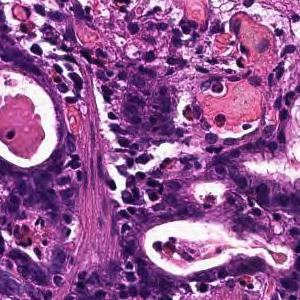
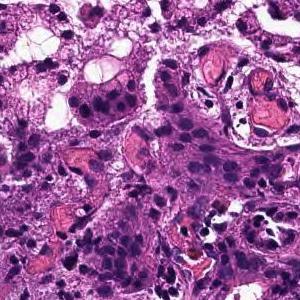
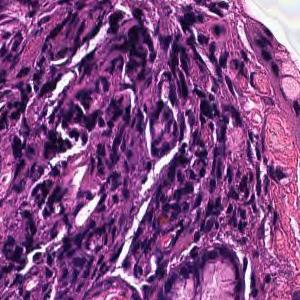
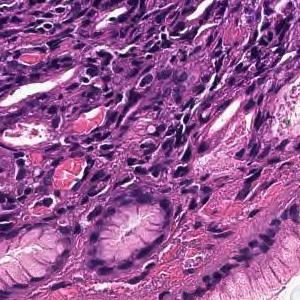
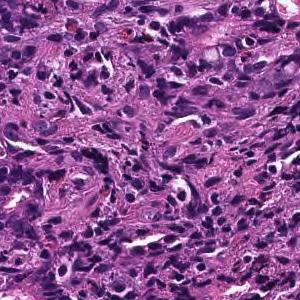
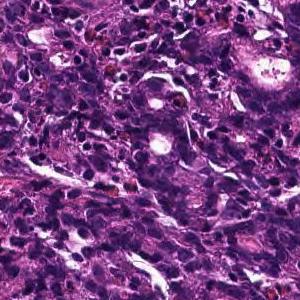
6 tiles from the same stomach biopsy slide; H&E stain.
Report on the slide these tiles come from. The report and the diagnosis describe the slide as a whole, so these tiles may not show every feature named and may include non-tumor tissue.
In the superficial epithelium, tumor tissue that invades by forming medium-sized to small, irregular ducts is observed. moderately differentiated tubular adenocarcinoma.
